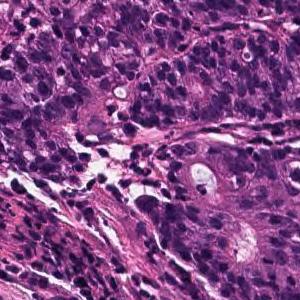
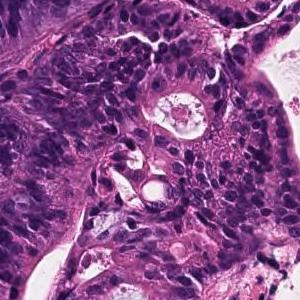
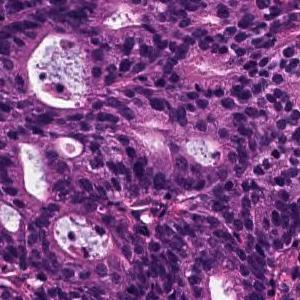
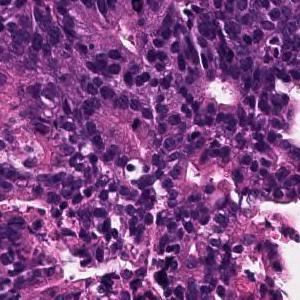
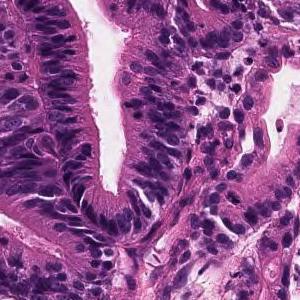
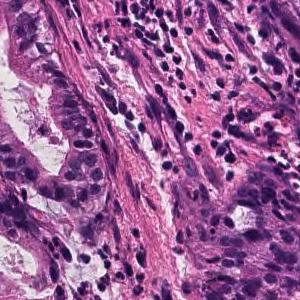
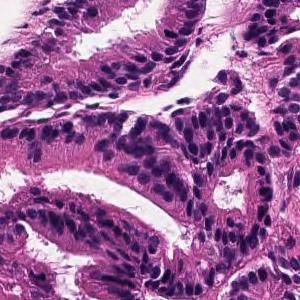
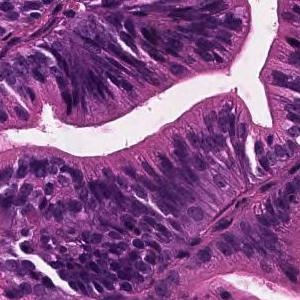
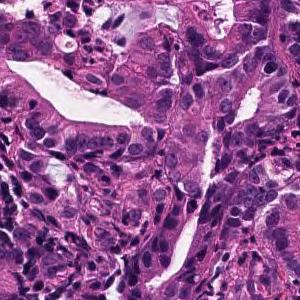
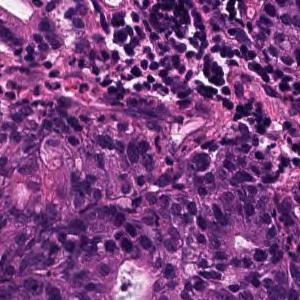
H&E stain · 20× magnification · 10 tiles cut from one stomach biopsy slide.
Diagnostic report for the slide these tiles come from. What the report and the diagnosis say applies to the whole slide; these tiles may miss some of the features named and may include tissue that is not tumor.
In the superficial epithelium, tumor tissue that invades by forming medium-sized to small, irregular ducts is observed. Moderately differentiated adenocarcinoma.
Classified as moderately differentiated tubular adenocarcinoma.
